8 tiles cut from one stomach biopsy slide, 300 × 300 pixels each, hematoxylin and eosin stain.
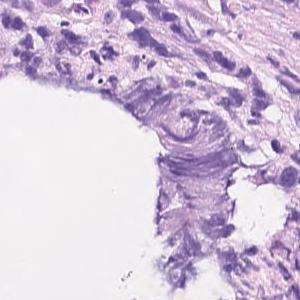
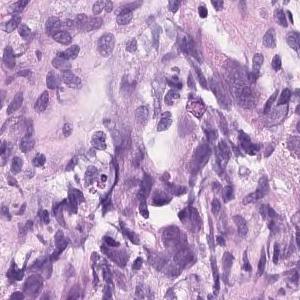
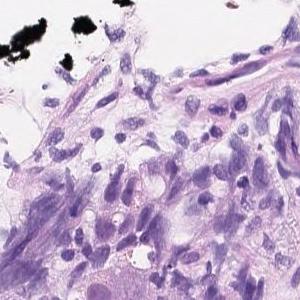
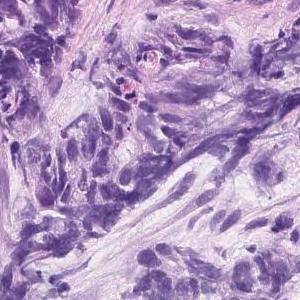
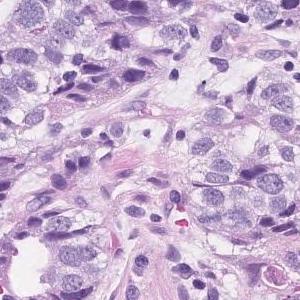
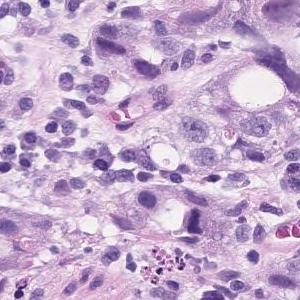
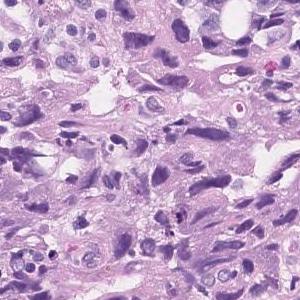
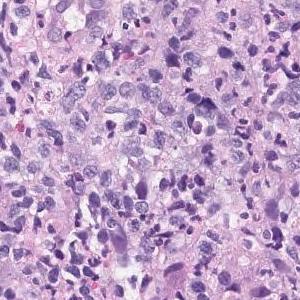
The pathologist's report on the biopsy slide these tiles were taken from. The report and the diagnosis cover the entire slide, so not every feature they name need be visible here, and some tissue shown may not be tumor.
Atypical epithelial cells infiltrating and proliferating diffusely or while forming vesicles is observed. Poorly differentiated adenocarcinoma (poorly differentiated adenocarcinoma, solid type moderately differentiated tubular adenocarcinoma)
The dataset labels this slide poorly differentiated adenocarcinoma, solid type (Japanese Classification of Gastric Carcinoma). The WHO 2019 equivalent is tubular adenocarcinoma, poorly differentiated.
